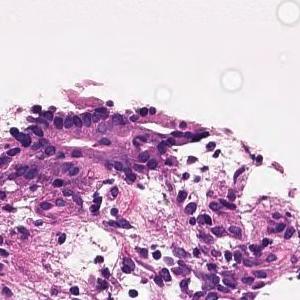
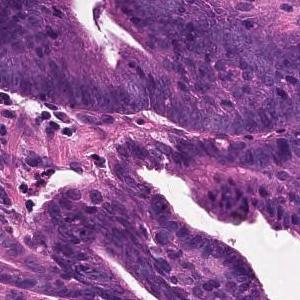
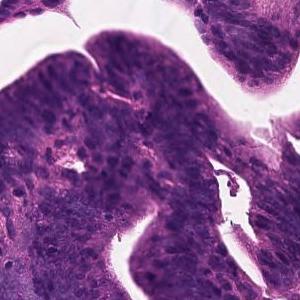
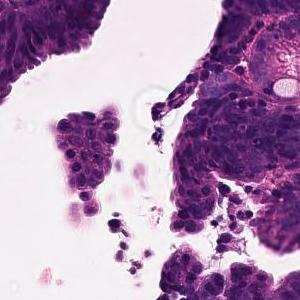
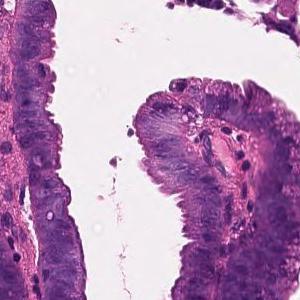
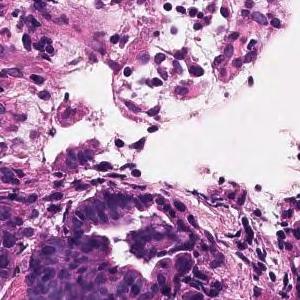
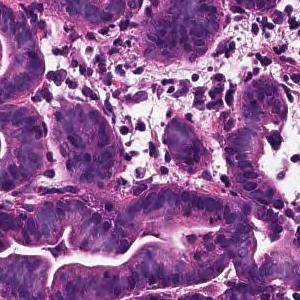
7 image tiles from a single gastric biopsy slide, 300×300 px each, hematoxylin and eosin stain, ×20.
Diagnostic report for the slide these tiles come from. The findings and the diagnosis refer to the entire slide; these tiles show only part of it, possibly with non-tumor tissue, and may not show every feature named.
Tumor cells are large, highly columnar, large club-shaped nuclei, and are associated with chromatin aggregation. Papillary adenocarcinoma.
